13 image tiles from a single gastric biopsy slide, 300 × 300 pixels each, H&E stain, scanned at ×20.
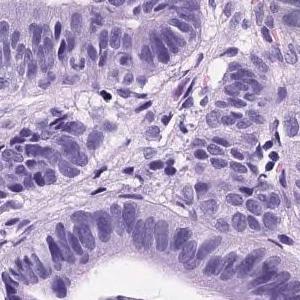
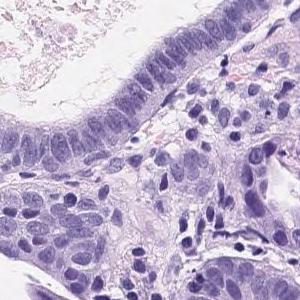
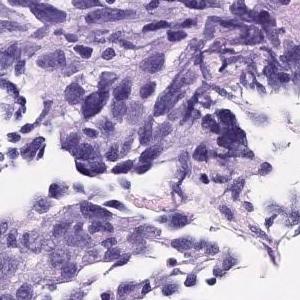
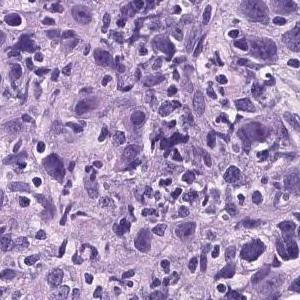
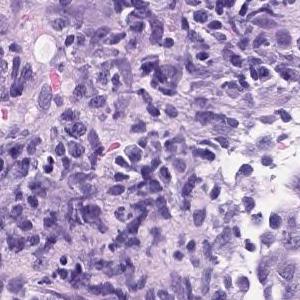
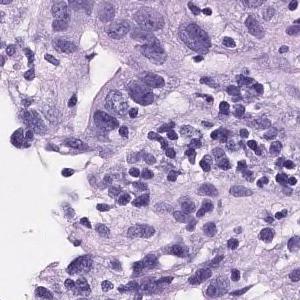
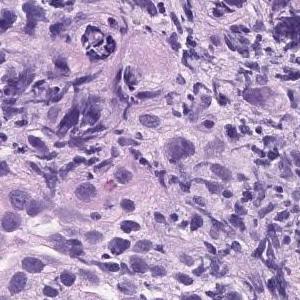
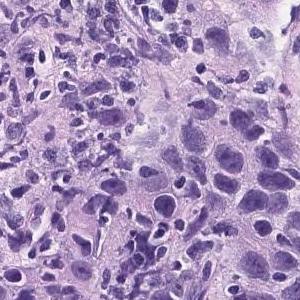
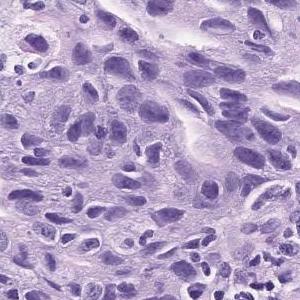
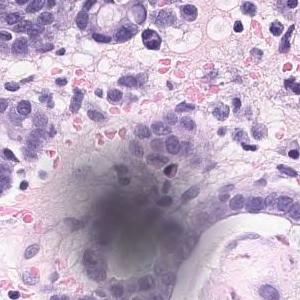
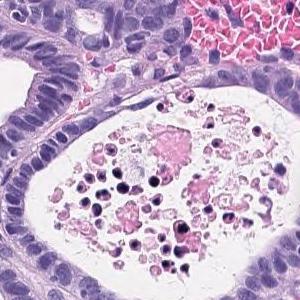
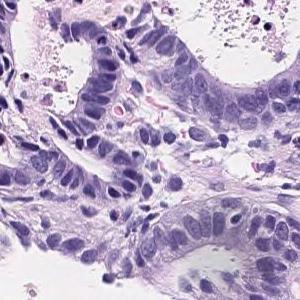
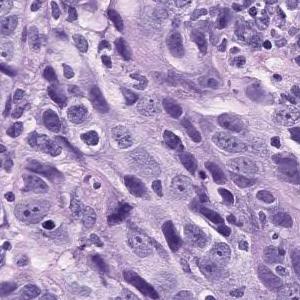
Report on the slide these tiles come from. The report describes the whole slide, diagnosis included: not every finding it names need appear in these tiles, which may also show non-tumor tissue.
The superficial epithelium shows a large sheet-like shape, and some tumor tissue infiltrates with small irregular ducts. Poorly differentiated adenocarcinoma, solid-type
Subtype: Poorly differentiated adenocarcinoma, solid type (Japanese Classification of Gastric Carcinoma). The WHO 2019 equivalent is tubular adenocarcinoma, poorly differentiated.
